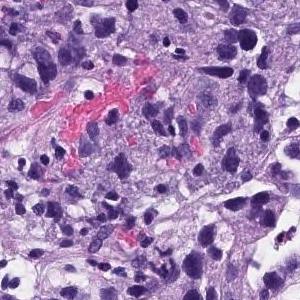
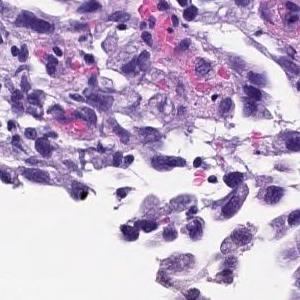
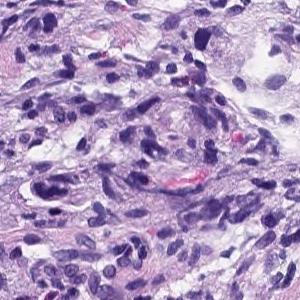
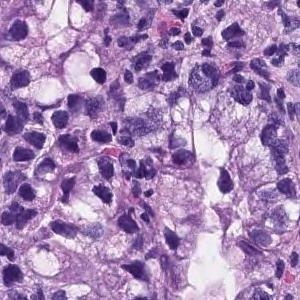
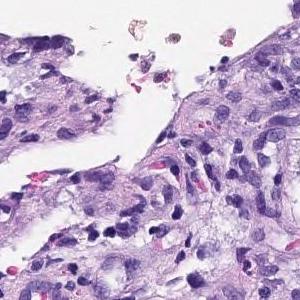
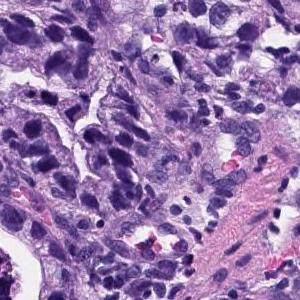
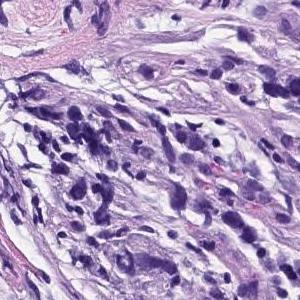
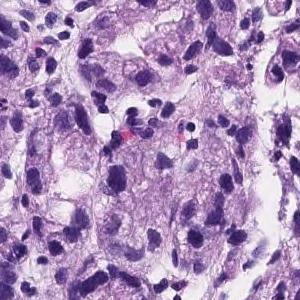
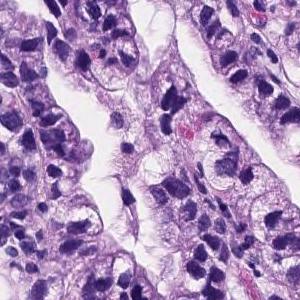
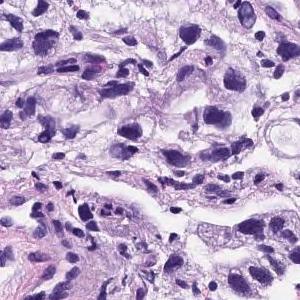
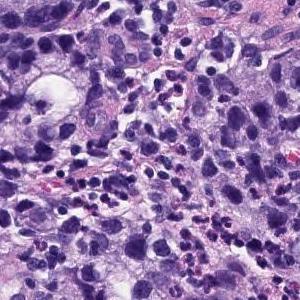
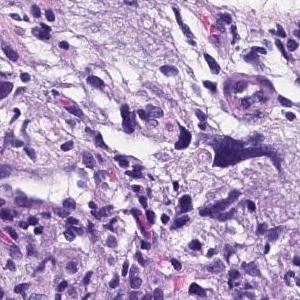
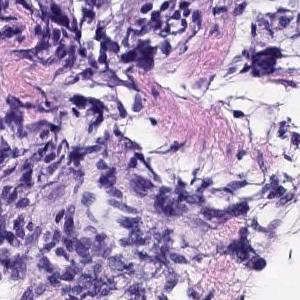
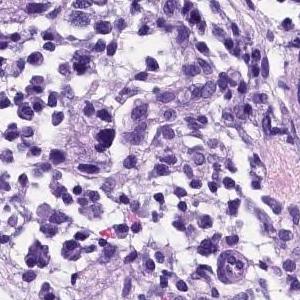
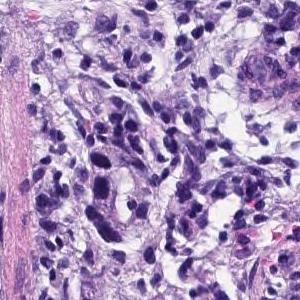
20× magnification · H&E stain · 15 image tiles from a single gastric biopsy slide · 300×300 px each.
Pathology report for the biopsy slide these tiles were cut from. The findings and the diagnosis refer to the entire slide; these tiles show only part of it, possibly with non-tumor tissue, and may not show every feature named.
Medium to small, irregular glandular ducts are formed in the superficial epithelium, and in some cases, the glandular ducts are fused to show solid alveolar lesions and infiltrating tumor tissue is observed. Poorly differentiated adenocarcinoma, Moderately differentiated adenocarcinoma.
Labeled in the dataset as moderately differentiated tubular adenocarcinoma.
